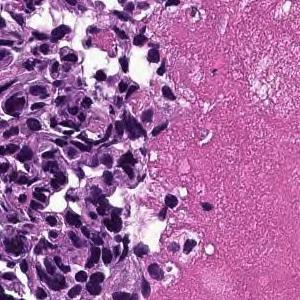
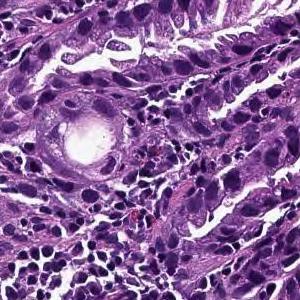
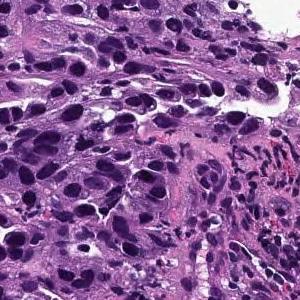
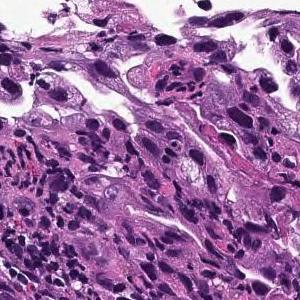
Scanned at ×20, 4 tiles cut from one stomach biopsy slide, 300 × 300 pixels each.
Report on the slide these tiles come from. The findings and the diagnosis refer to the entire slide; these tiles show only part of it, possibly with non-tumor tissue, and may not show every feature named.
Tumor cells are large, highly columnar, large club-shaped nuclei, and are associated with chromatin aggregation. Papillary adenocarcinoma.
